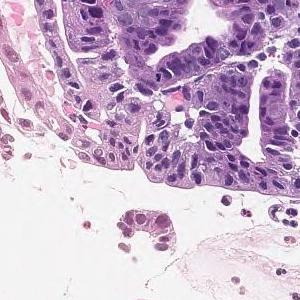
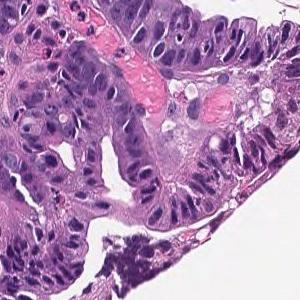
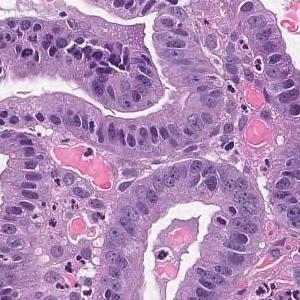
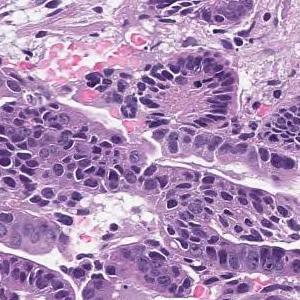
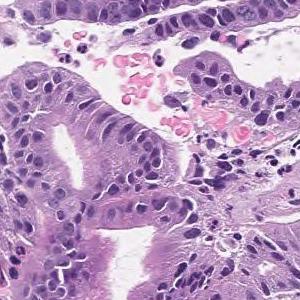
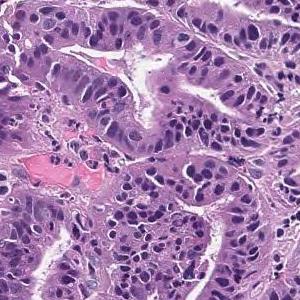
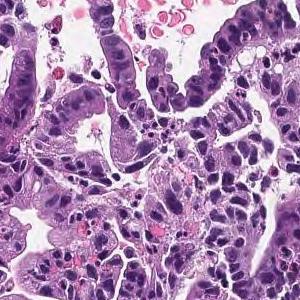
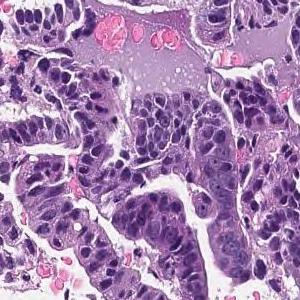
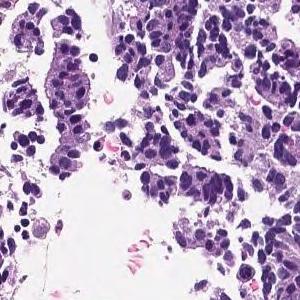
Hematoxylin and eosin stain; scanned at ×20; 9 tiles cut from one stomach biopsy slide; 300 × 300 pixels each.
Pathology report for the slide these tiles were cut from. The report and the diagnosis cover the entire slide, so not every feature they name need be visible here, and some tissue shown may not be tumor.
Tumor cells are large, highly columnar, large club-shaped nuclei, and are associated with chromatin aggregation. Papillary adenocarcinoma.
